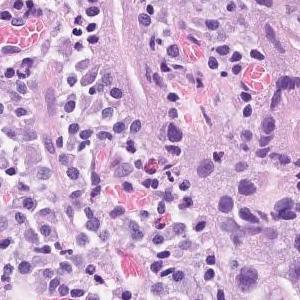
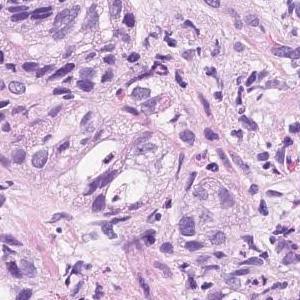
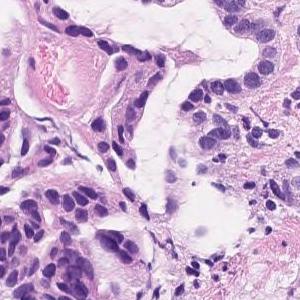
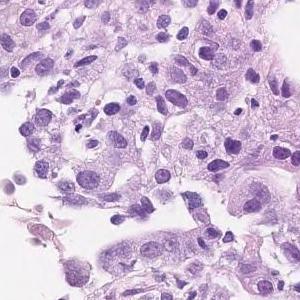
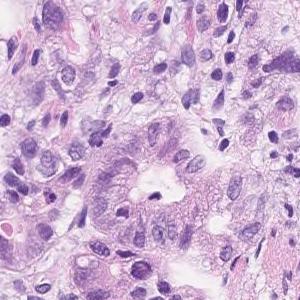
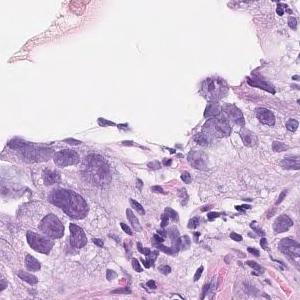
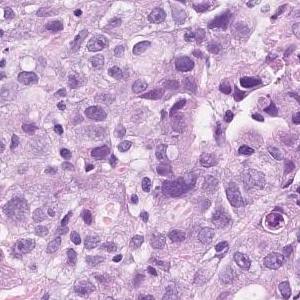
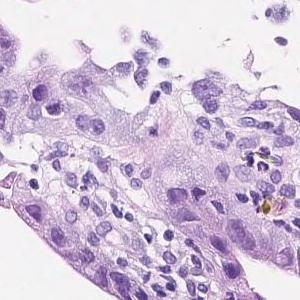
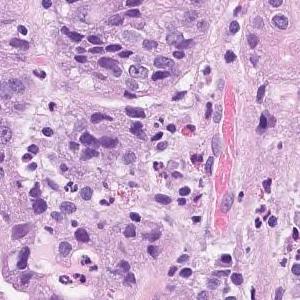
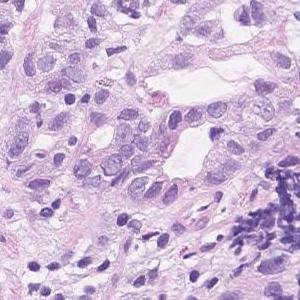
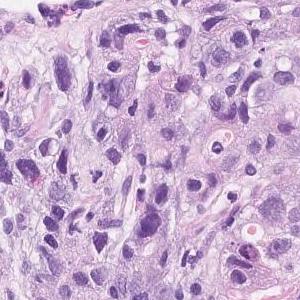
×20; H&E; 11 image tiles from a single gastric biopsy slide; 300×300 px each.
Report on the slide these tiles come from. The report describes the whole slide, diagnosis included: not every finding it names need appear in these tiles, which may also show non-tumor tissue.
In the superficial epithelium, tumor tissue that invades by forming medium-sized to small, irregular ducts is observed. Moderately to poorly differentiated adenocarcinoma
